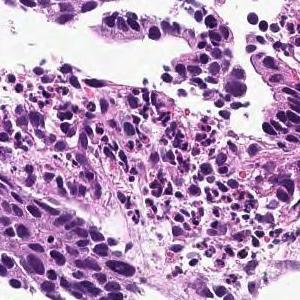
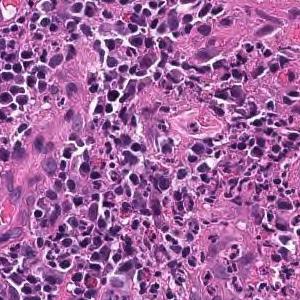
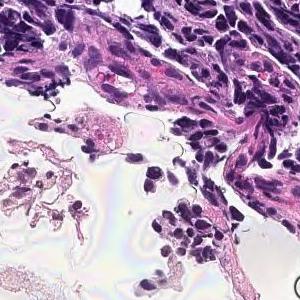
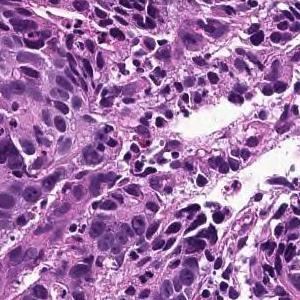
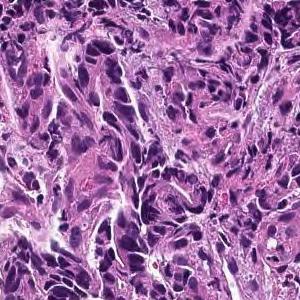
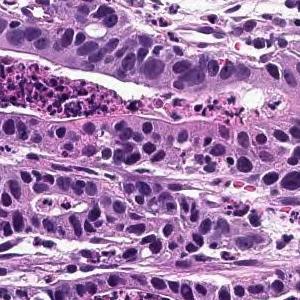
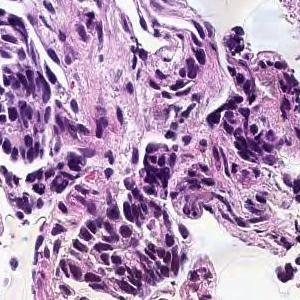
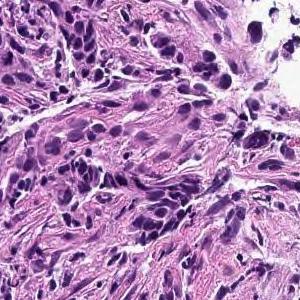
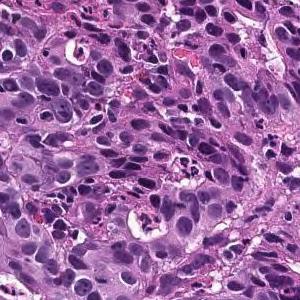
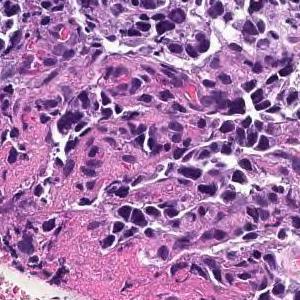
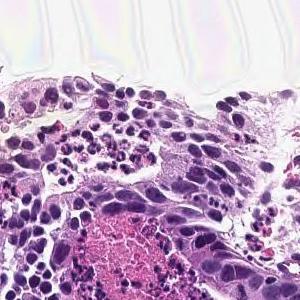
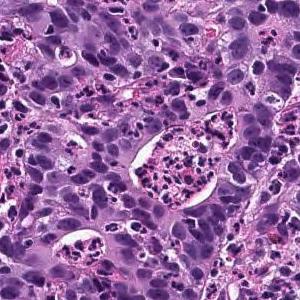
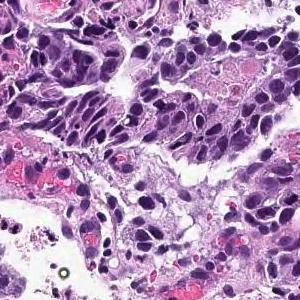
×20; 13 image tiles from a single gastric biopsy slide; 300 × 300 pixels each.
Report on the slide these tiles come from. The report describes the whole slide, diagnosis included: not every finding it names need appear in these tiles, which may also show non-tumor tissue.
In the superficial epithelium, tumor tissue that invades by forming medium-sized to small, irregular ducts is observed. moderately differentiated tubular adenocarcinoma.
